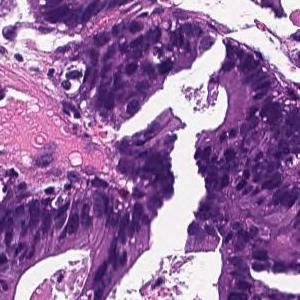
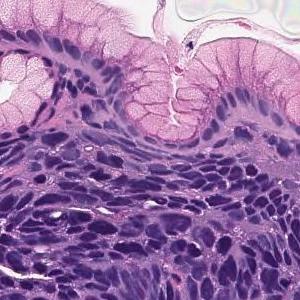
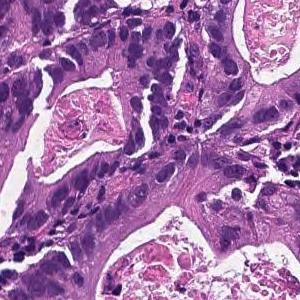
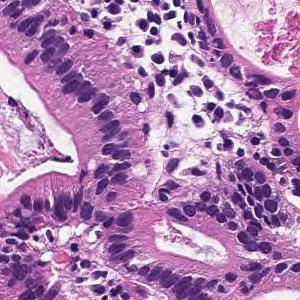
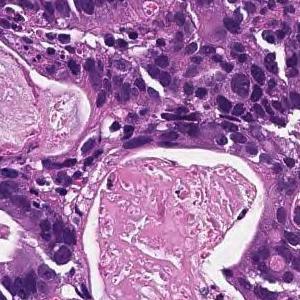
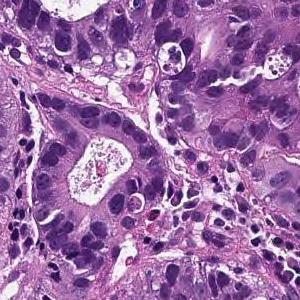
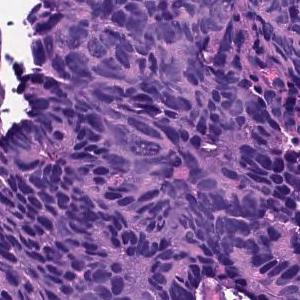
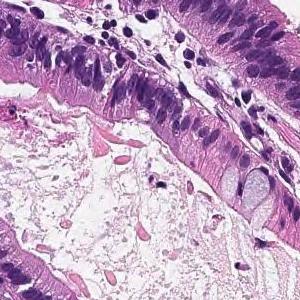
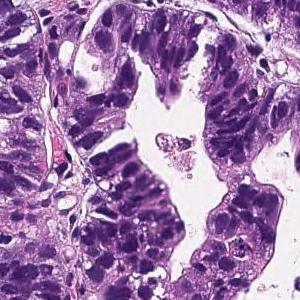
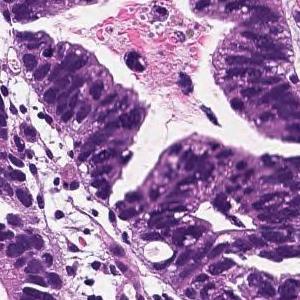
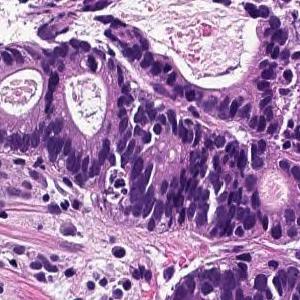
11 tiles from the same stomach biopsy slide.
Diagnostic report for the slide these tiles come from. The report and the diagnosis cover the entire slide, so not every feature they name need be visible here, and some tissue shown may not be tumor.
In the superficial epithelium, tumor tissue that invades by forming medium-sized to small, irregular ducts is observed. moderately differentiated tubular adenocarcinoma.
